16 tiles from the same stomach biopsy slide · H&E.
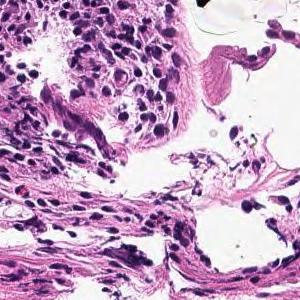
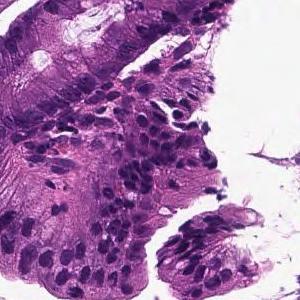
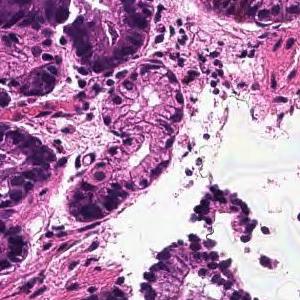
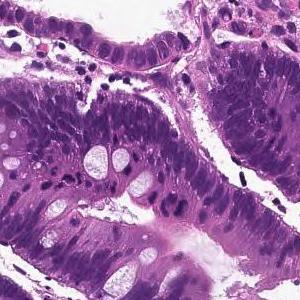
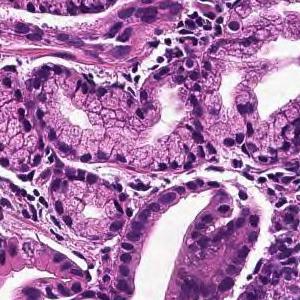
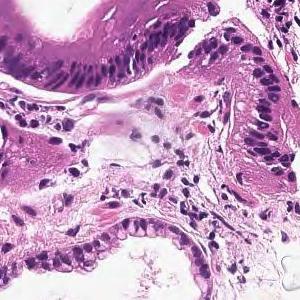
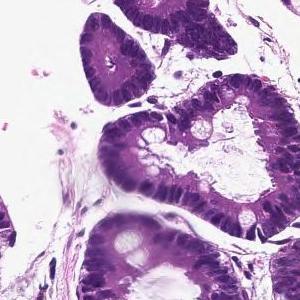
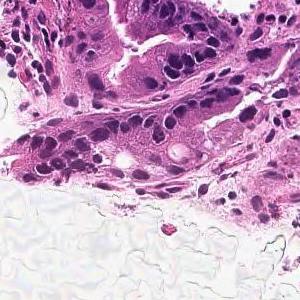
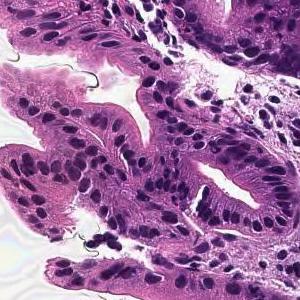
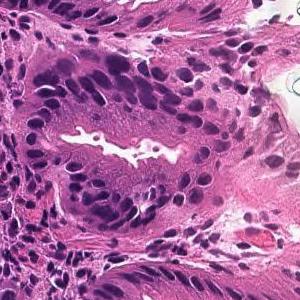
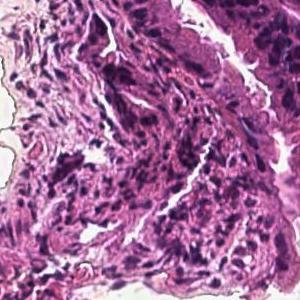
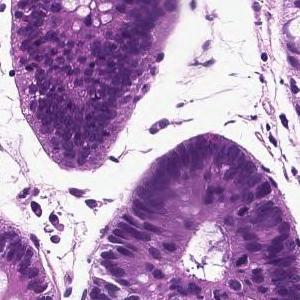
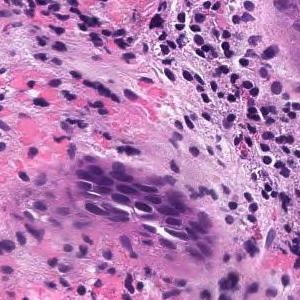
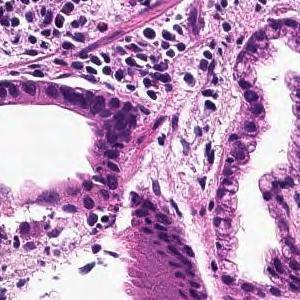
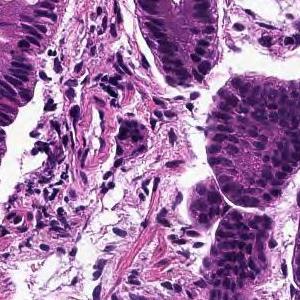
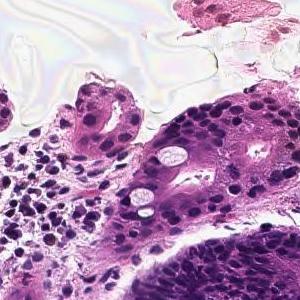
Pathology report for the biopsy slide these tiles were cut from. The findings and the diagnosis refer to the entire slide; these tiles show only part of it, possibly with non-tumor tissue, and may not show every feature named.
From the superficial epithelium to the muscularis mucosae, tumor tissue consisting of medium-sized and irregular glandular ducts infiltrating is observed. Well differentiated tubular adenocarcinoma
